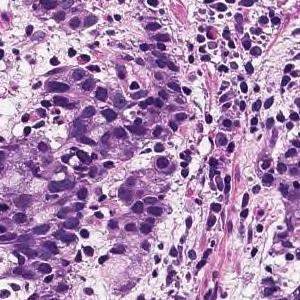
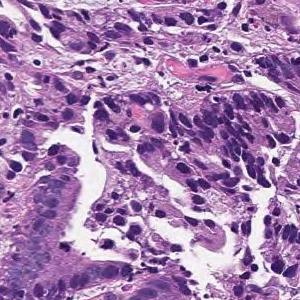
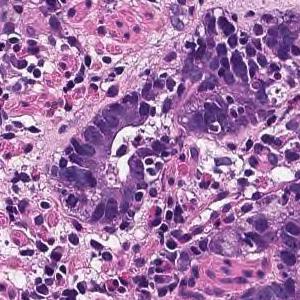
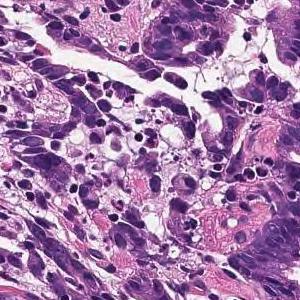
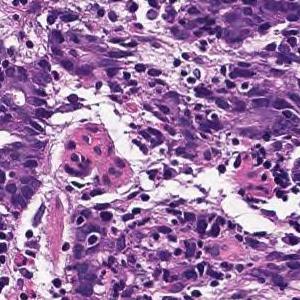
5 patches cut from one gastric biopsy slide; H&E; ×20.
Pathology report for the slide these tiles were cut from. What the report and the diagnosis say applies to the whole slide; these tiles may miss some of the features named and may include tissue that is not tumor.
Tumor tissue consisting of cord-like or small, irregular glandular ducts fused and infiltrated is observed in the superficial epithelium. Poorly differentiated adenocarcinoma, non-solid type
The non-solid type named here is a Japanese Classification of Gastric Carcinoma category.
